H&E stain · 6 tiles cut from one stomach biopsy slide.
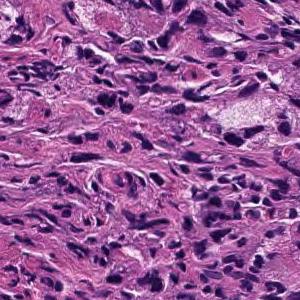
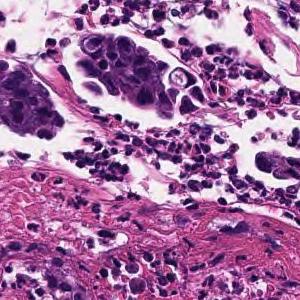
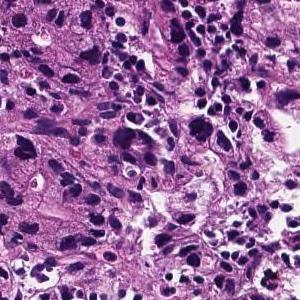
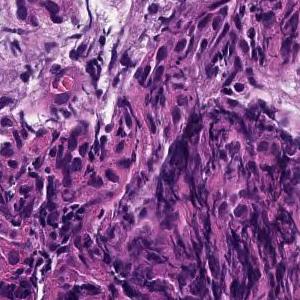
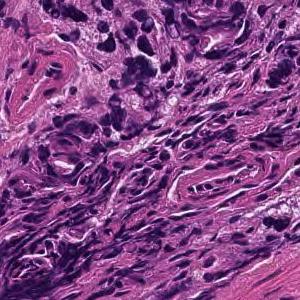
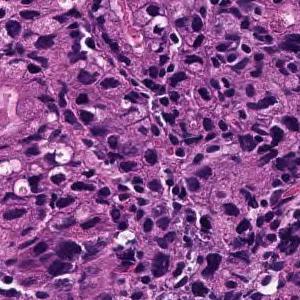
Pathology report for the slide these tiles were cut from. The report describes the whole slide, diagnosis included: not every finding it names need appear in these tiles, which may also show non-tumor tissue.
In the superficial epithelium, tumor tissue that invades by forming medium-sized to small, irregular ducts is observed. moderately differentiated tubular adenocarcinoma.
